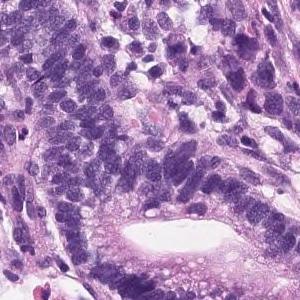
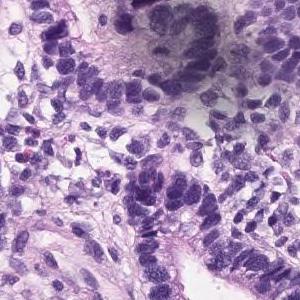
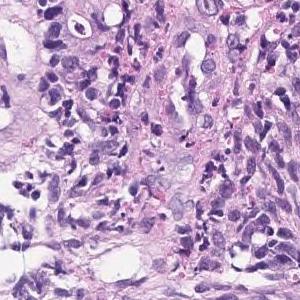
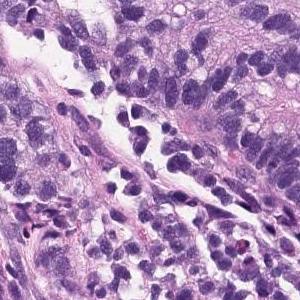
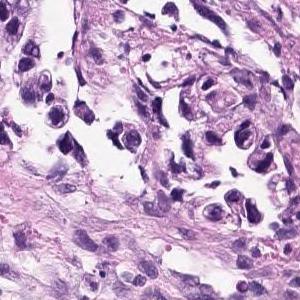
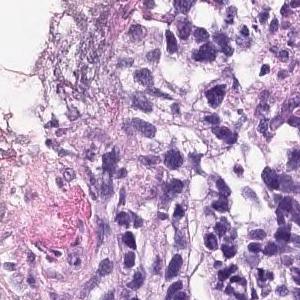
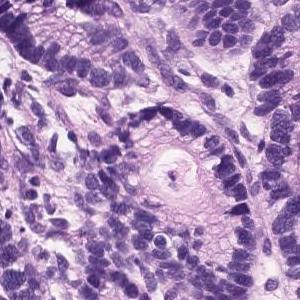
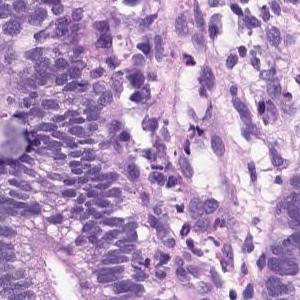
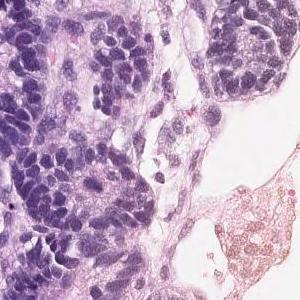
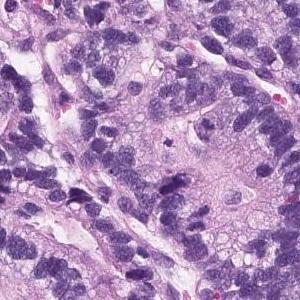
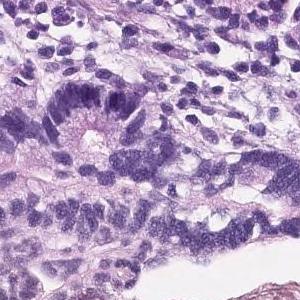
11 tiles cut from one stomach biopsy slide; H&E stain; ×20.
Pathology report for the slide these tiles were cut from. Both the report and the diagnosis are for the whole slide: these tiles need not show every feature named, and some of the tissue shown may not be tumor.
Hyperplasia of atypical epithelial cells with swelling of the nucleus is observed. Moderately diffentiated tubular adenocarcinoma
Histological subtype: Moderately differentiated tubular adenocarcinoma.
